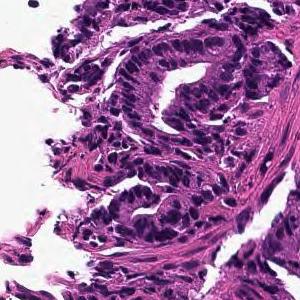
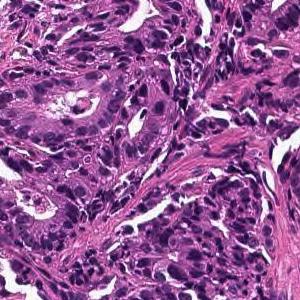
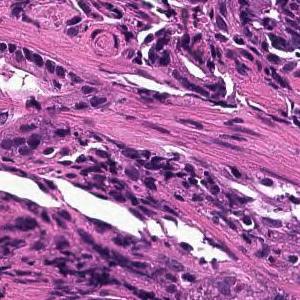
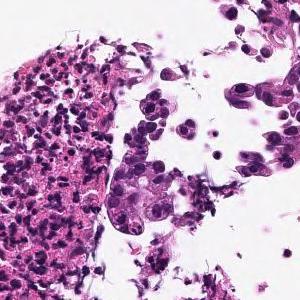
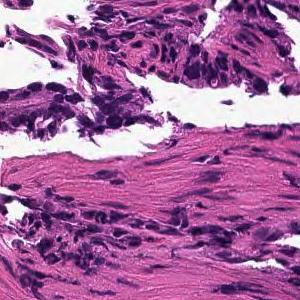
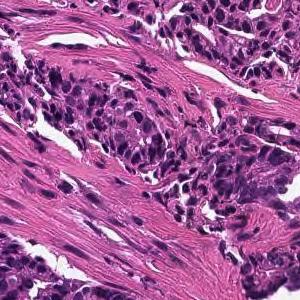
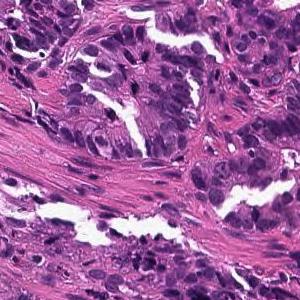
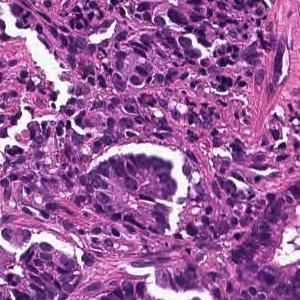
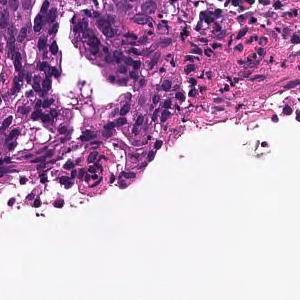
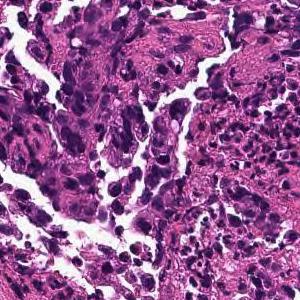
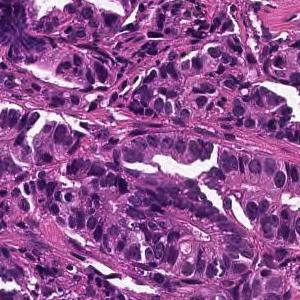
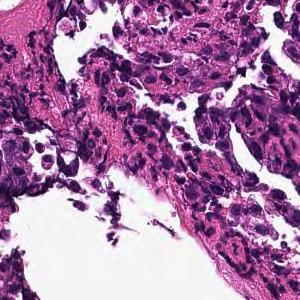
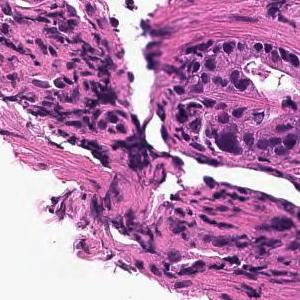
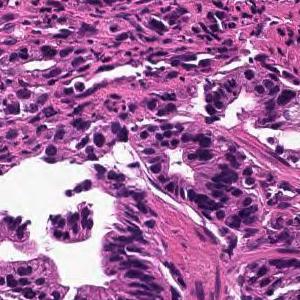
14 image tiles from a single gastric biopsy slide; each 300 × 300 pixels; 20× magnification; H&E.
The pathologist's report on the biopsy slide these tiles were taken from. The report and the diagnosis cover the entire slide, so not every feature they name need be visible here, and some tissue shown may not be tumor.
In the superficial epithelium, tumor tissue that invades by forming medium-sized to small, irregular ducts is observed. moderately differentiated tubular adenocarcinoma.
